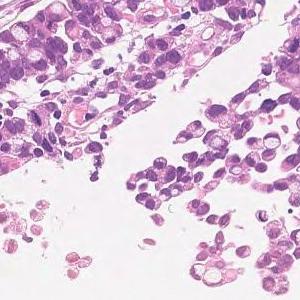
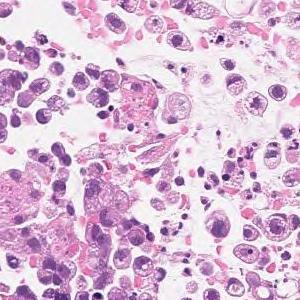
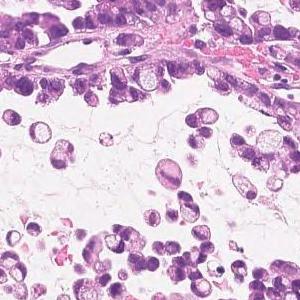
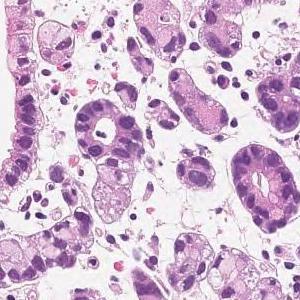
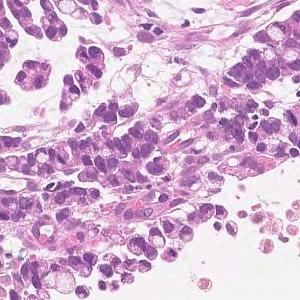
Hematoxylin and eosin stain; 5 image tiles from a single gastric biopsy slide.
Diagnostic report for the slide these tiles come from. What the report and the diagnosis say applies to the whole slide; these tiles may miss some of the features named and may include tissue that is not tumor.
Medium to small, irregular glandular ducts are formed in the superficial epithelium, and in some cases, the glandular ducts are fused to show solid alveolar lesions and infiltrating tumor tissue is observed. Moderately to poorly differentiated adenocarcinoma.
